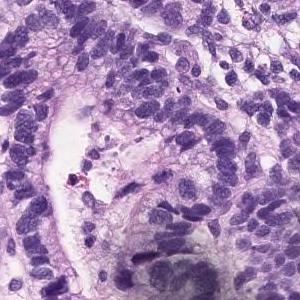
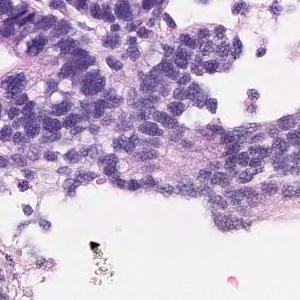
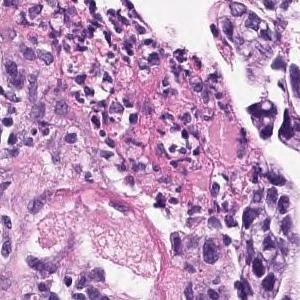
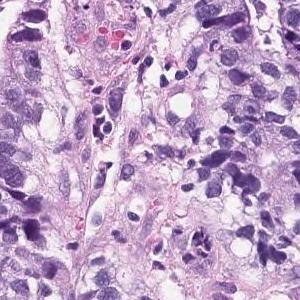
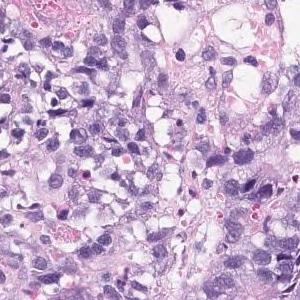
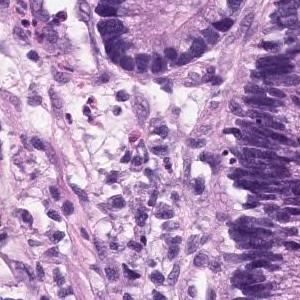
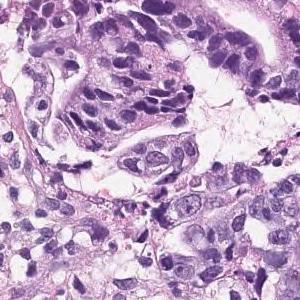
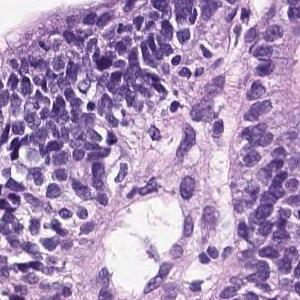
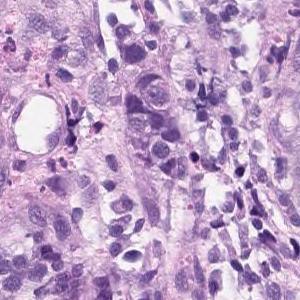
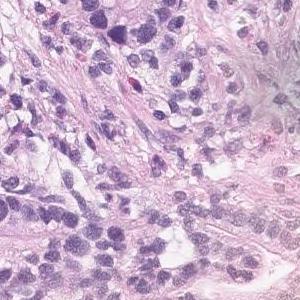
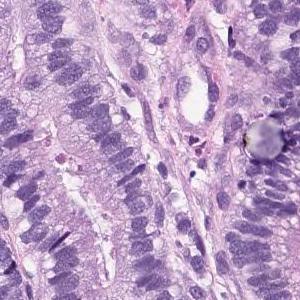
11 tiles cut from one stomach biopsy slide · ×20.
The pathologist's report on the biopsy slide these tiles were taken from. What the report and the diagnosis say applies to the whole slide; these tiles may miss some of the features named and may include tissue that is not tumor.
Hyperplasia of atypical epithelial cells with swelling of the nucleus is observed. Moderately diffentiated tubular adenocarcinoma
Histologic type: Moderately differentiated tubular adenocarcinoma.
